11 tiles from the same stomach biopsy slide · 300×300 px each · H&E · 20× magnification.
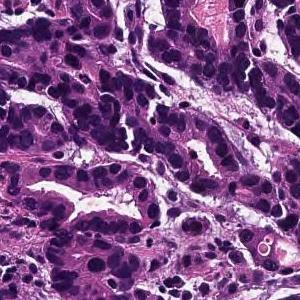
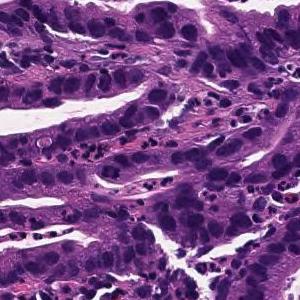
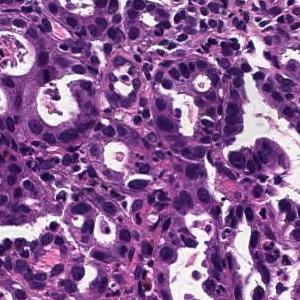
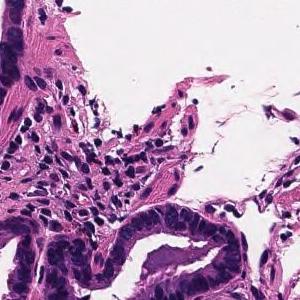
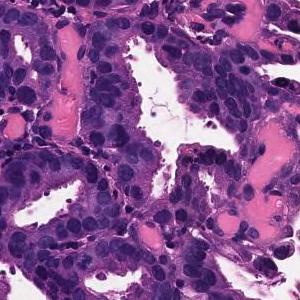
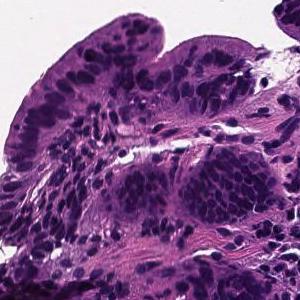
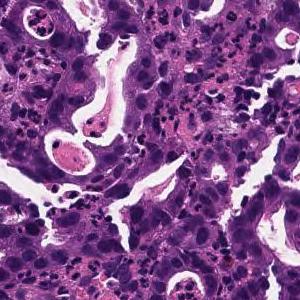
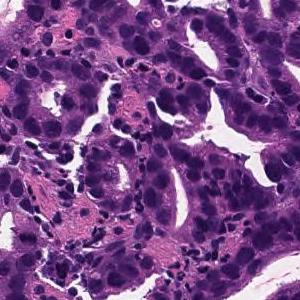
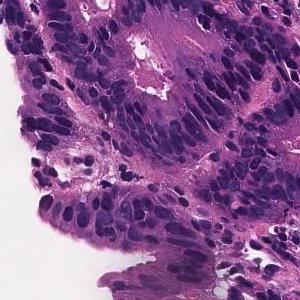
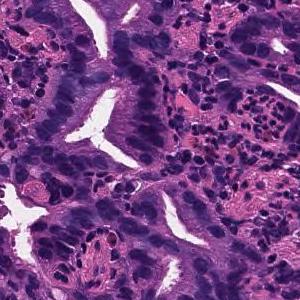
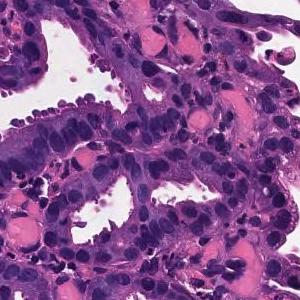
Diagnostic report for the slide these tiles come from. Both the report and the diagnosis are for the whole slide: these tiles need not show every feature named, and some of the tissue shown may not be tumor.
On the superficial epithelium, tumor tissue is found in which medium-sized irregular gland ducts fuse with each other and infiltrate. moderately differentiated tubular adenocarcinoma
